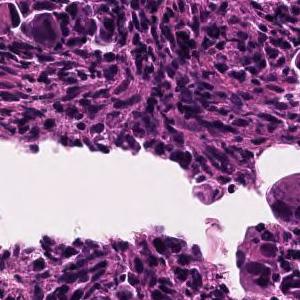
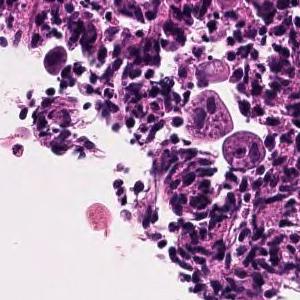
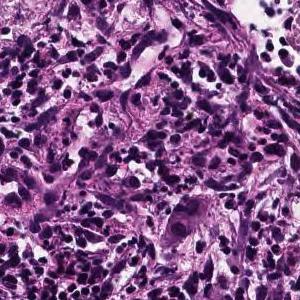
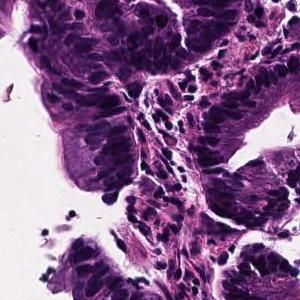
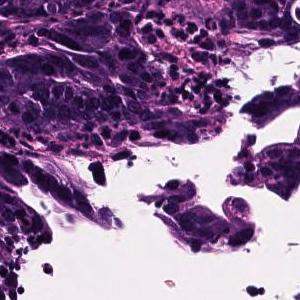
5 tiles cut from one stomach biopsy slide; 300 × 300 pixels each; H&E stain; 20× magnification.
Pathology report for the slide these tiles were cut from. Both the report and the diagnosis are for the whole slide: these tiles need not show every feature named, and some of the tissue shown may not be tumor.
On the superficial epithelium, tumor tissue consisting of large, irregular glandular ducts partially fused and infiltrated is observed. Well to moderately differentiated tubular adenocarcinoma (well differentiated tubular adenocarcinoma, moderately differentiated tubular adenocarcinoma)
Classified as well to moderately differentiated tubular adenocarcinoma.
